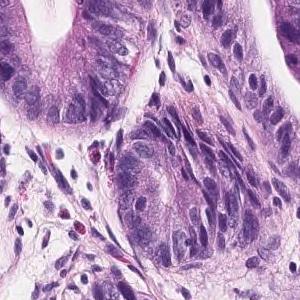
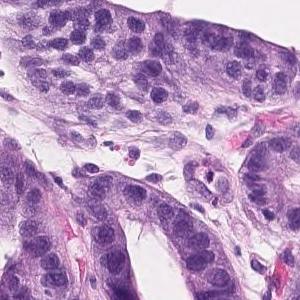
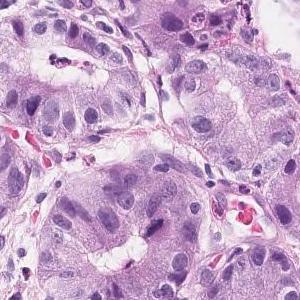
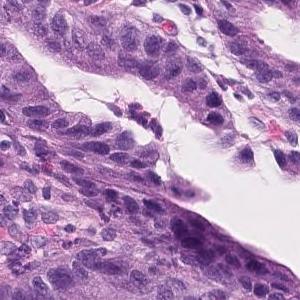
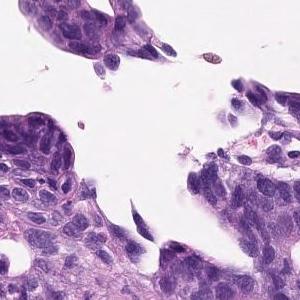
H&E stain, 5 image tiles from a single gastric biopsy slide, 300 × 300 pixels each.
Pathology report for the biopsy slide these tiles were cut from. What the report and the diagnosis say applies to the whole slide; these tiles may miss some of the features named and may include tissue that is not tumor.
On the superficial epithelium, tumor tissue consisting of medium-sized to large-sized, round or irregular glandular duct growth images is observed. Well differentiated adenocarcinoma.
Classified as well differentiated tubular adenocarcinoma.
